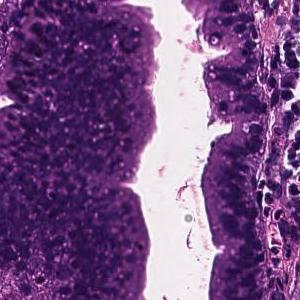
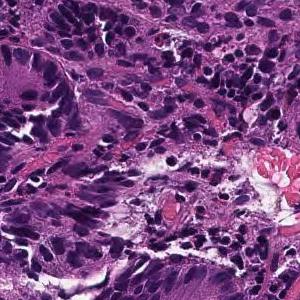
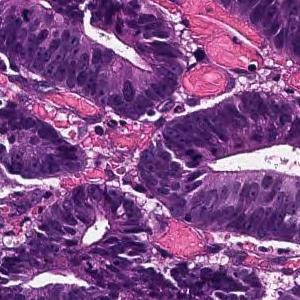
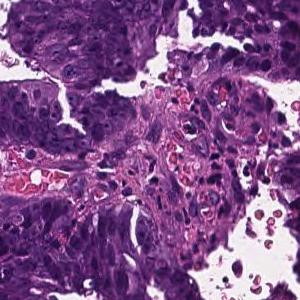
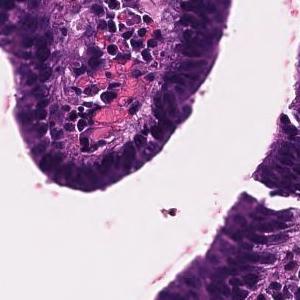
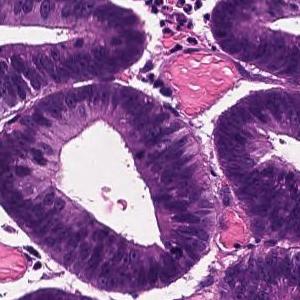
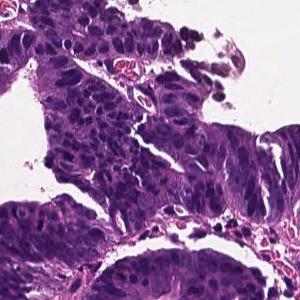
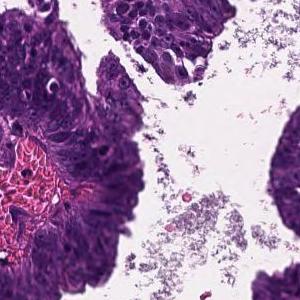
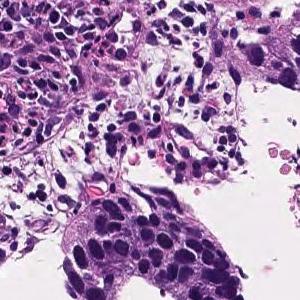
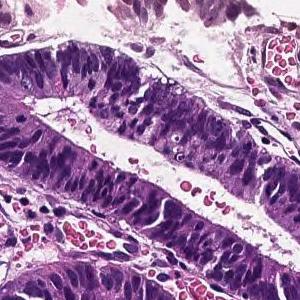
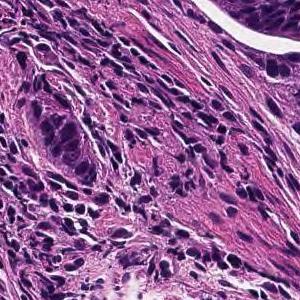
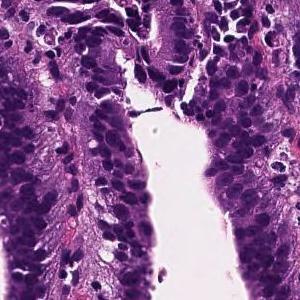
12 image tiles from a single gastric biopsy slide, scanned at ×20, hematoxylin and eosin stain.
Report on the slide these tiles come from. The report describes the whole slide, diagnosis included: not every finding it names need appear in these tiles, which may also show non-tumor tissue.
Tumor tissue consisting of large papillary structures is found in the superficial epithelium. Papillary adenocarcinoma.
